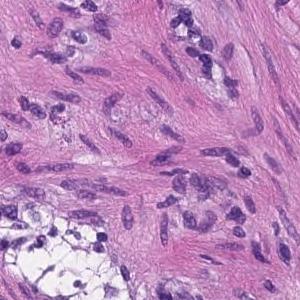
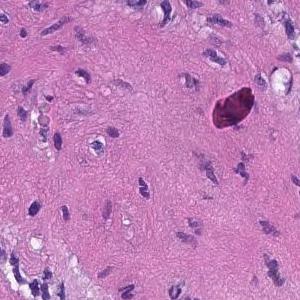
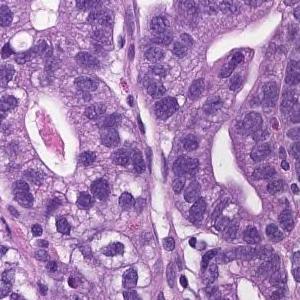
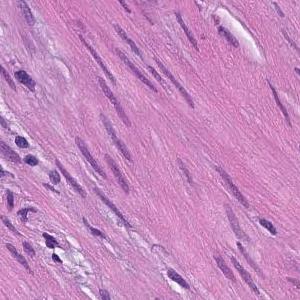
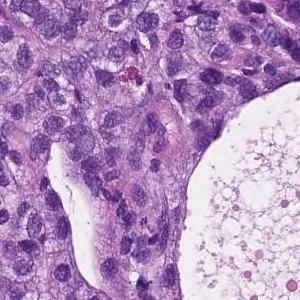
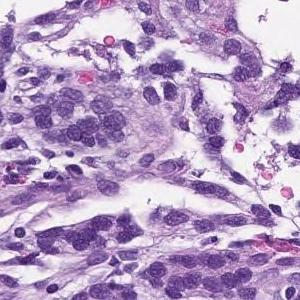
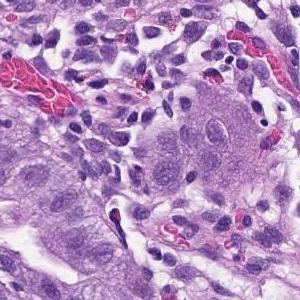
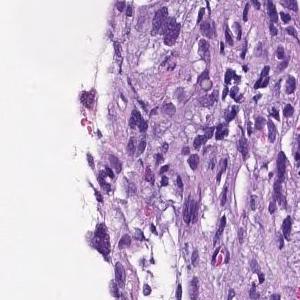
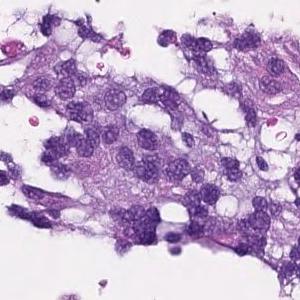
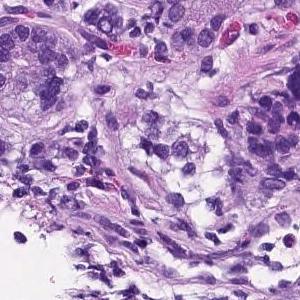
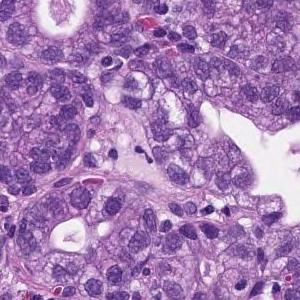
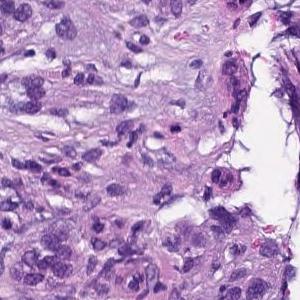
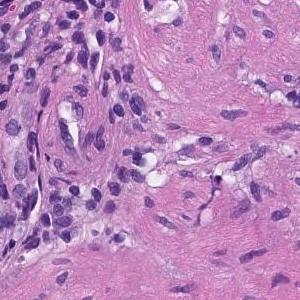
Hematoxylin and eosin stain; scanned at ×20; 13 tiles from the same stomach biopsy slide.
The pathologist's report on the biopsy slide these tiles were taken from. The findings and the diagnosis refer to the entire slide; these tiles show only part of it, possibly with non-tumor tissue, and may not show every feature named.
From the superficial epithelium to the muscularis mucosae, tumor tissue consisting of medium-sized and irregular glandular ducts infiltrating is observed. Well differentiated tubular adenocarcinoma
